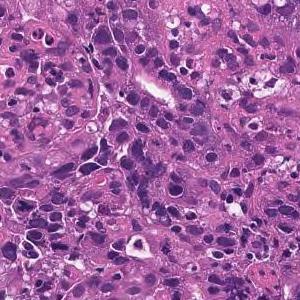
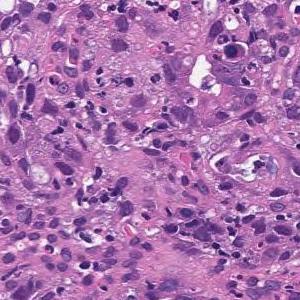
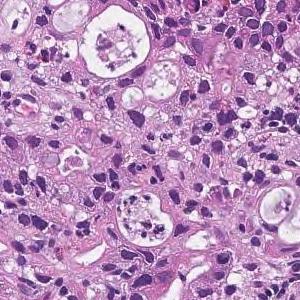
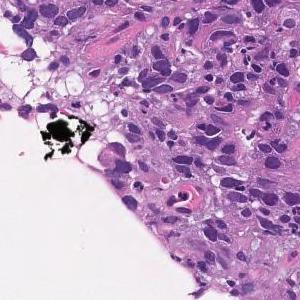
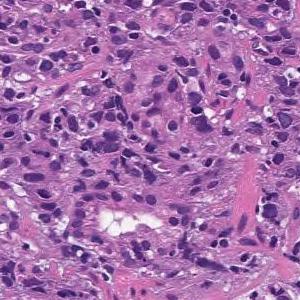
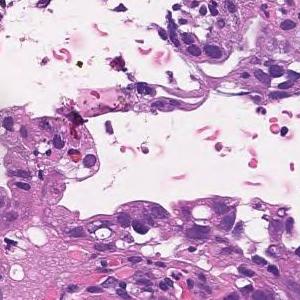
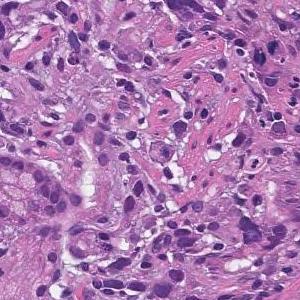
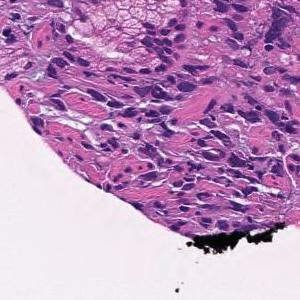
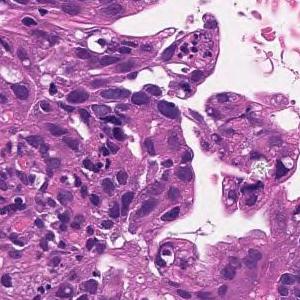
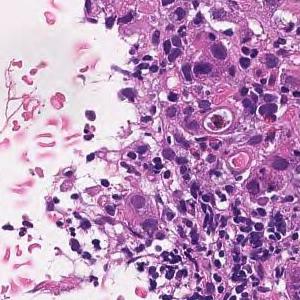
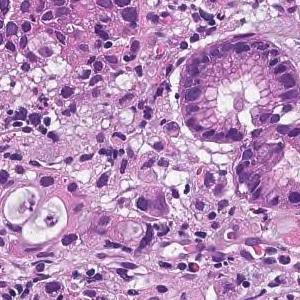
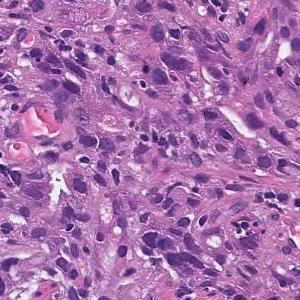
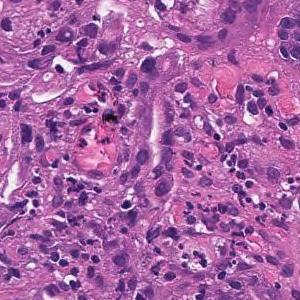
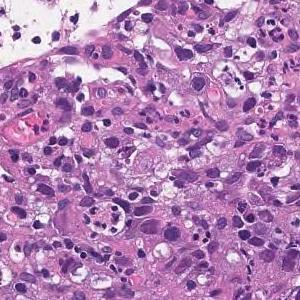
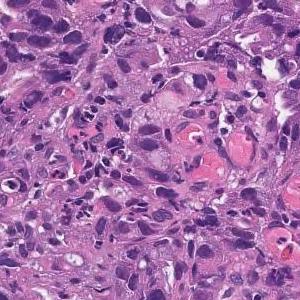
15 tiles from the same stomach biopsy slide; hematoxylin and eosin stain; scanned at ×20.
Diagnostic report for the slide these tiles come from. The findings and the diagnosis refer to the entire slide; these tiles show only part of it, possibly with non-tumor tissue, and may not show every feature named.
In the superficial epithelium, tumor tissue that invades by forming medium-sized to small, irregular ducts is observed. moderately differentiated tubular adenocarcinoma.
